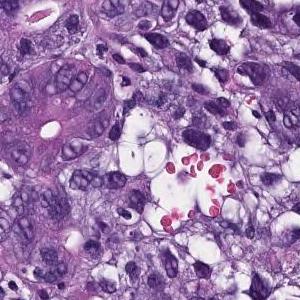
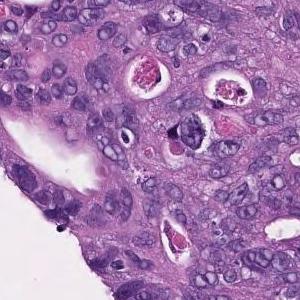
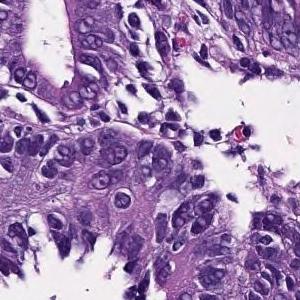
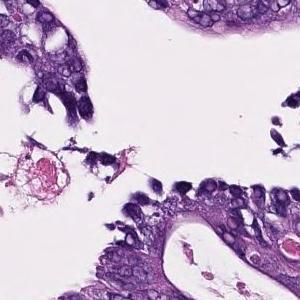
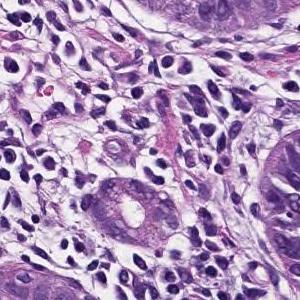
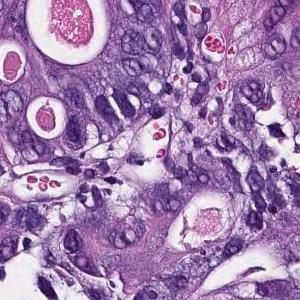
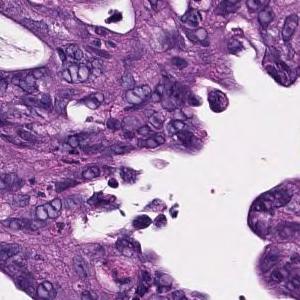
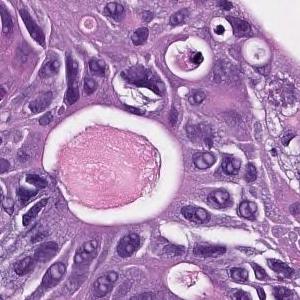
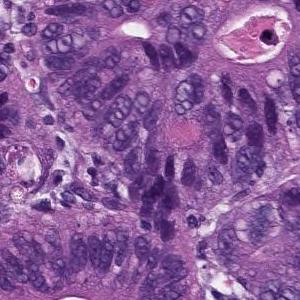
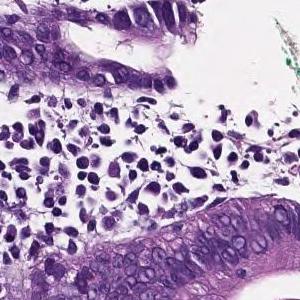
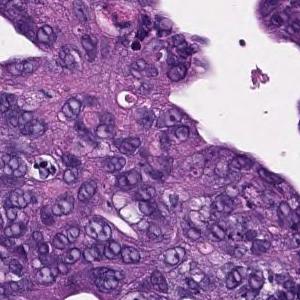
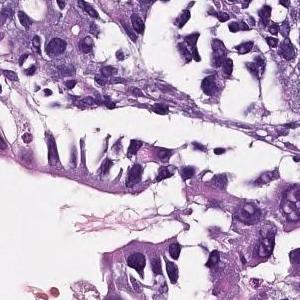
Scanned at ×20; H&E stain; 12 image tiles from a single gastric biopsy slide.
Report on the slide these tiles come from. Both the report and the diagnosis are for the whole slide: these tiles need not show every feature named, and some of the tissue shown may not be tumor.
In the superficial epithelium, tumor tissue that invades by forming medium-sized to small, irregular ducts is observed. moderately differentiated tubular adenocarcinoma.
